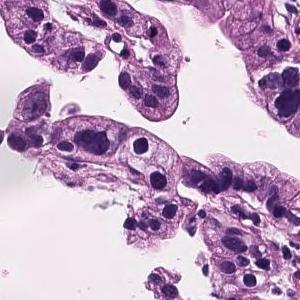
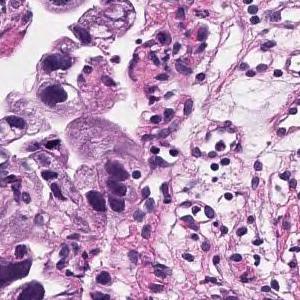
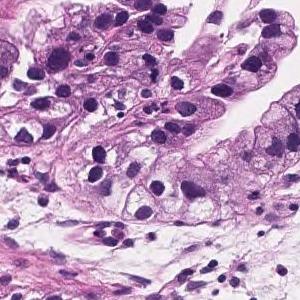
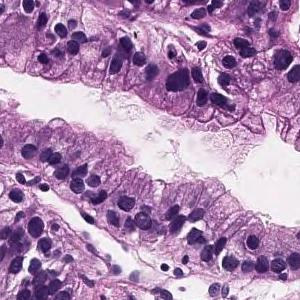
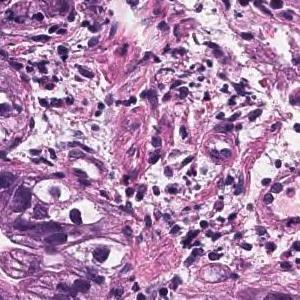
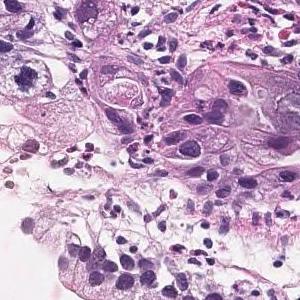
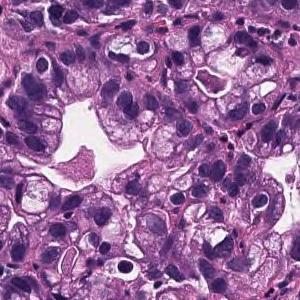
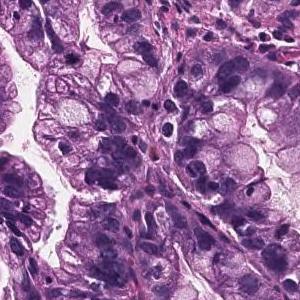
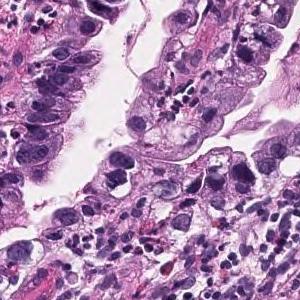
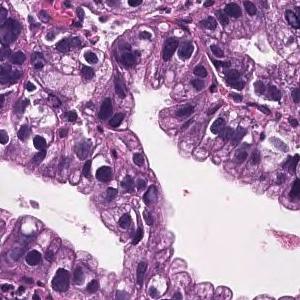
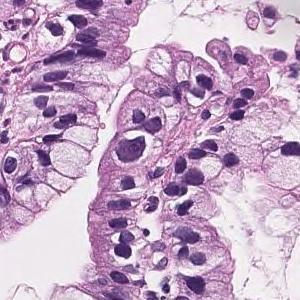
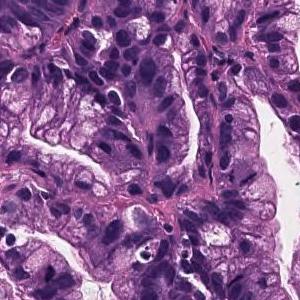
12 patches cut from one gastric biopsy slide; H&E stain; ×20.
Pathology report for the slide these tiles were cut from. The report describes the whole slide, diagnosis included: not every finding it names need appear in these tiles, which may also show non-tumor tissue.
Tumor cells are large, highly columnar, large club-shaped nuclei, and are associated with chromatin aggregation. Papillary adenocarcinoma.
